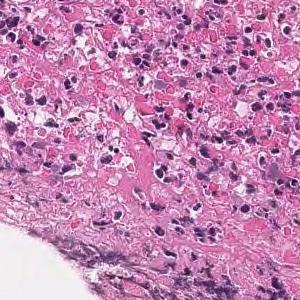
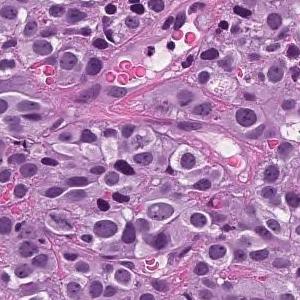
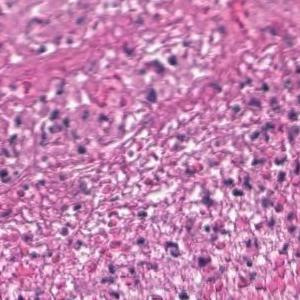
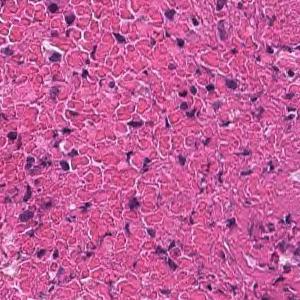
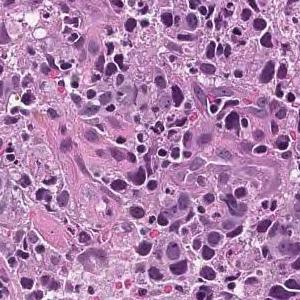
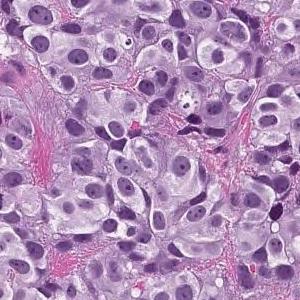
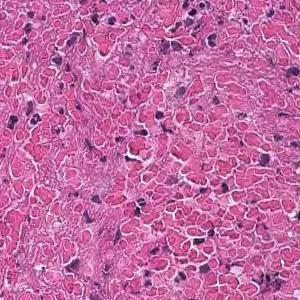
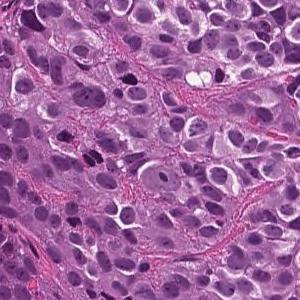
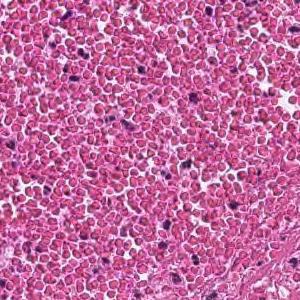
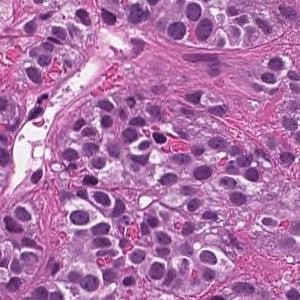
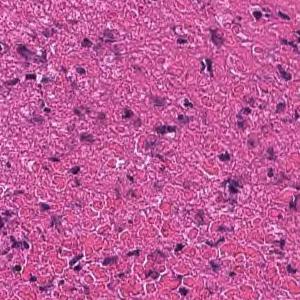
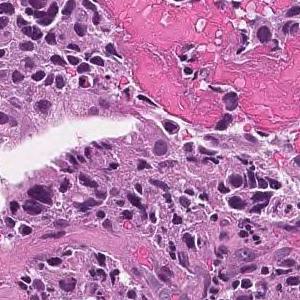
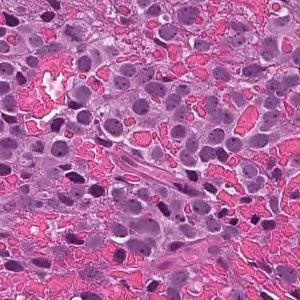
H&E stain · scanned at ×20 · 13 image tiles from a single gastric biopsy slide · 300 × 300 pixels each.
Pathology report for the biopsy slide these tiles were cut from. Both the report and the diagnosis are for the whole slide: these tiles need not show every feature named, and some of the tissue shown may not be tumor.
The superficial epithelium shows a large sheet-like shape, and some tumor tissue infiltrates with small irregular ducts. Poorly differentiated adenocarcinoma, solid-type
Subtype: Poorly differentiated adenocarcinoma, solid type, a category of the Japanese Classification of Gastric Carcinoma; in the WHO 2019 classification it is tubular adenocarcinoma, poorly differentiated.
